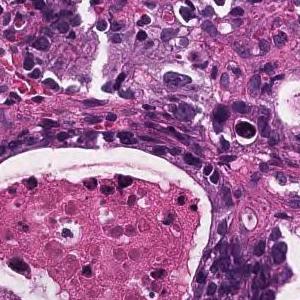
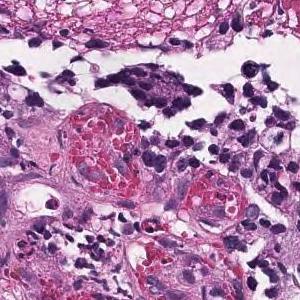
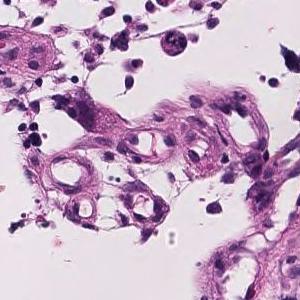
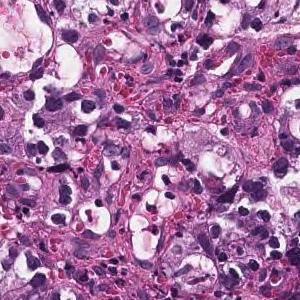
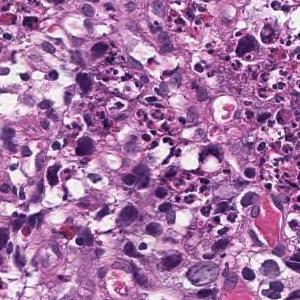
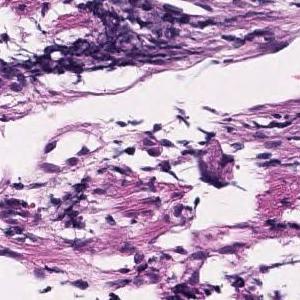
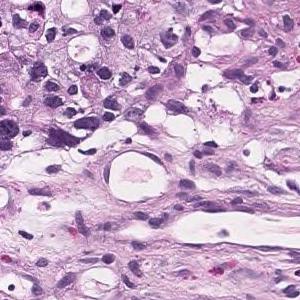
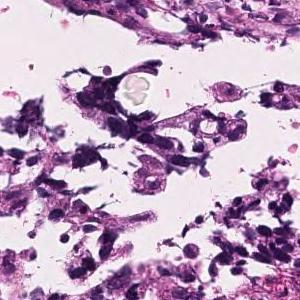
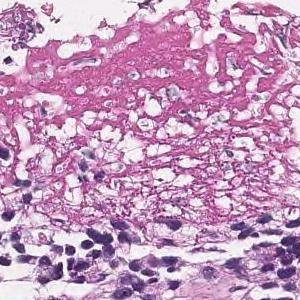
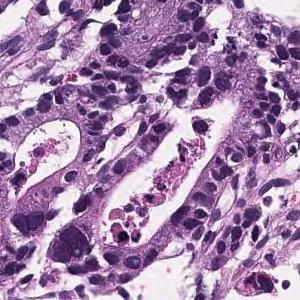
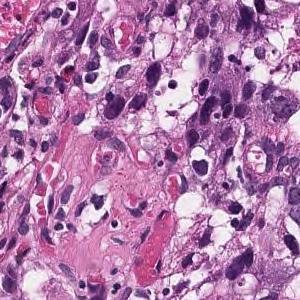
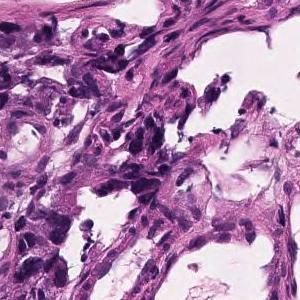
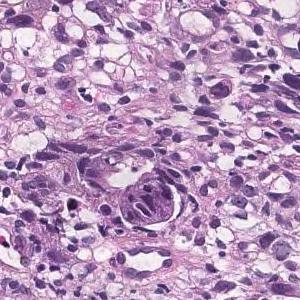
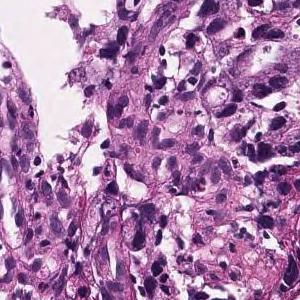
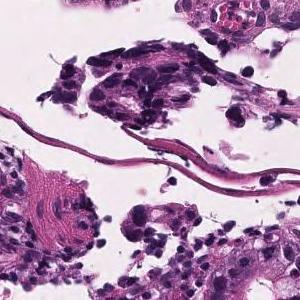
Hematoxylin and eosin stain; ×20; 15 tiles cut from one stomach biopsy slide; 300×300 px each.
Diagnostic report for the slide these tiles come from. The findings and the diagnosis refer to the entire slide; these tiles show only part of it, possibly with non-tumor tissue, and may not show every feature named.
Tumor tissue consisting of medium-sized, cord-like or irregular glandular infiltration is observed in the superficial epithelium. Poorly differentiated adenocarcinoma, non-solid type or moderately differentiated tubular adenocarcinoma
The non-solid type named here is a Japanese Classification of Gastric Carcinoma category.
